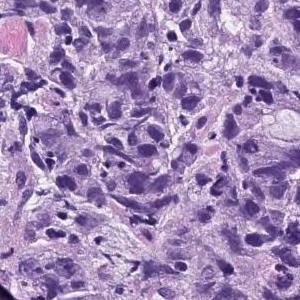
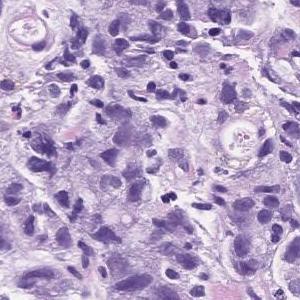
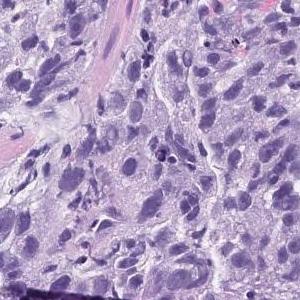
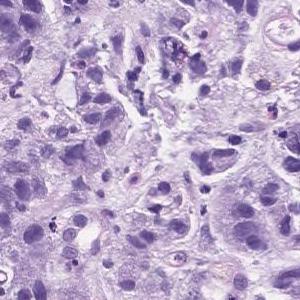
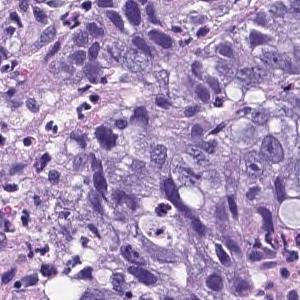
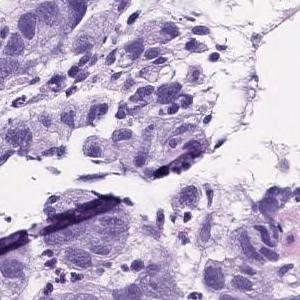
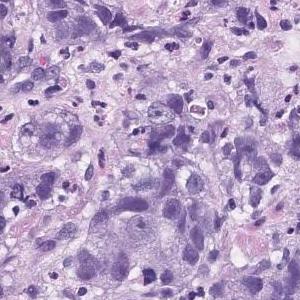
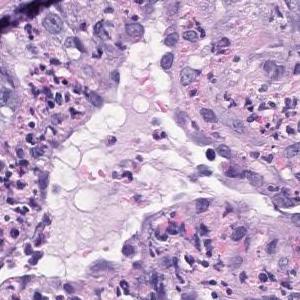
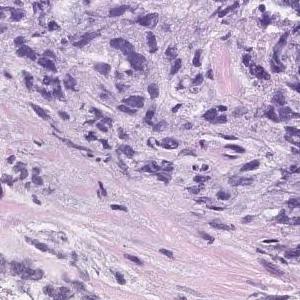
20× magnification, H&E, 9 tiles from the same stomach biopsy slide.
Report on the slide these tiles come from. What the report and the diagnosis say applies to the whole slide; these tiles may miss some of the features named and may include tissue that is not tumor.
Atypical l cells with atypical nuclei forming solid vesicles or small irregular atypical ducts that proliferate in a complex manner. poorly differentiated adenocarcinoma, solid type, moderately differentiated tubular adenocarcinoma
The solid type named here is a Japanese Classification of Gastric Carcinoma category; WHO 2019 calls it tubular adenocarcinoma, poorly differentiated.
